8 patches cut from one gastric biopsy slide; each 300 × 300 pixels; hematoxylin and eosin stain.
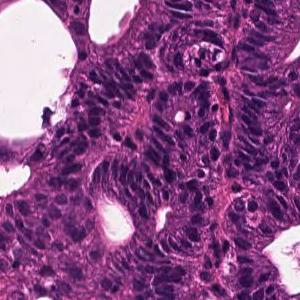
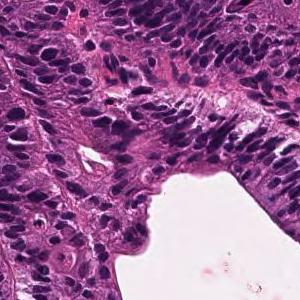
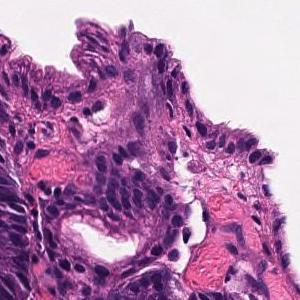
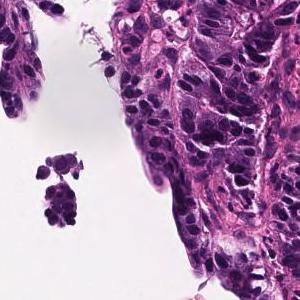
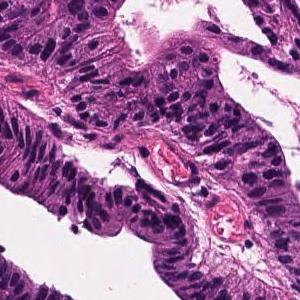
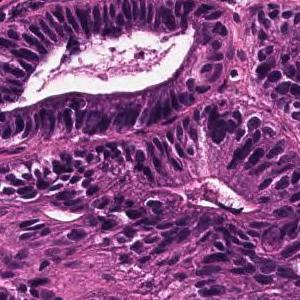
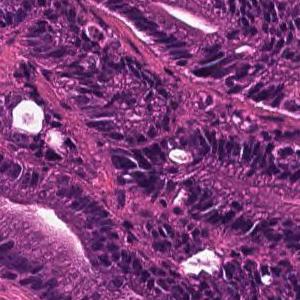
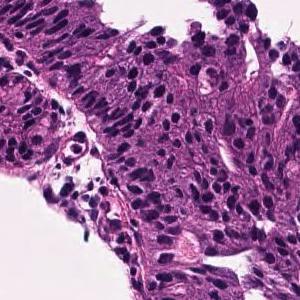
Pathology report for the biopsy slide these tiles were cut from. The report and the diagnosis cover the entire slide, so not every feature they name need be visible here, and some tissue shown may not be tumor.
Tumor tissue that remains within the superficial epithelium and is infiltrated by large papillary or irregular ducts that fuse with each other is observed. Well differentiated tubular adenocarcinoma
